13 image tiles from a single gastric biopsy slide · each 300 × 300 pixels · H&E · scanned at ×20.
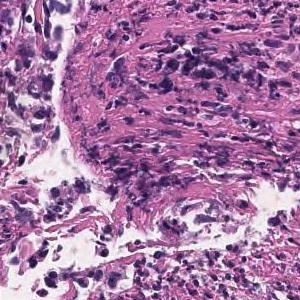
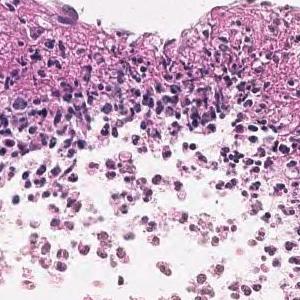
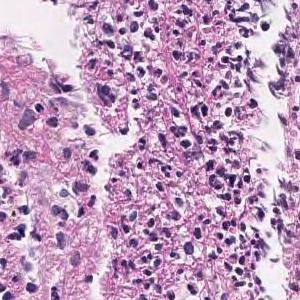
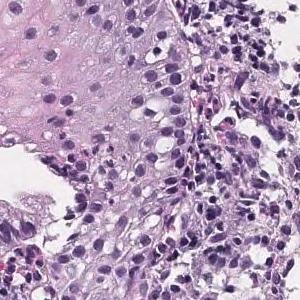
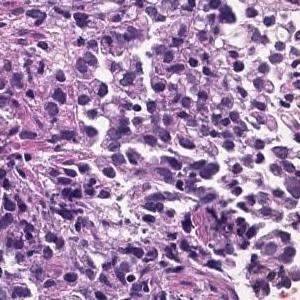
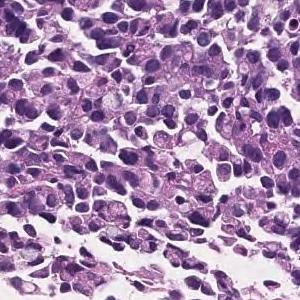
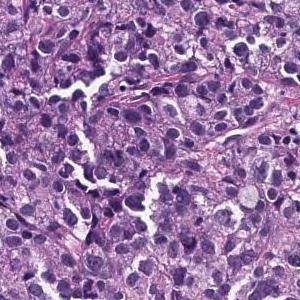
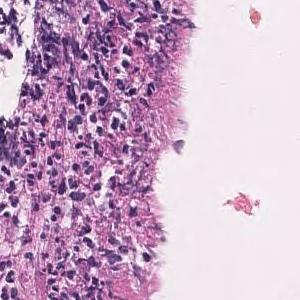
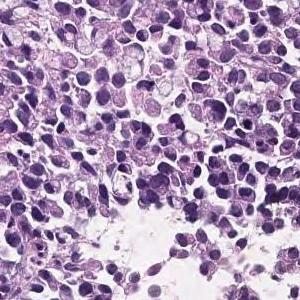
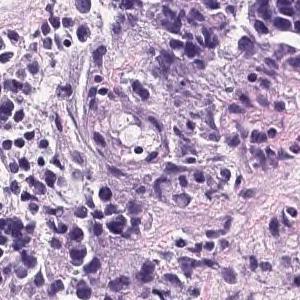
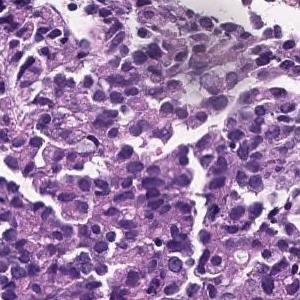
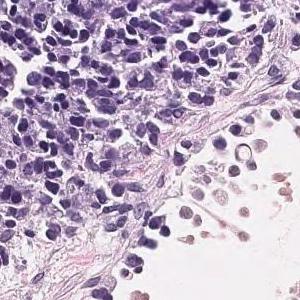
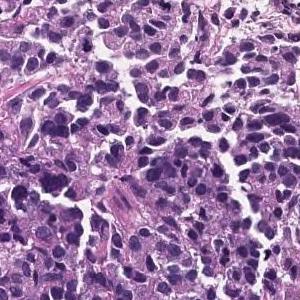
Report on the slide these tiles come from. The findings and the diagnosis refer to the entire slide; these tiles show only part of it, possibly with non-tumor tissue, and may not show every feature named.
The superficial epithelium shows a large sheet-like shape, and some tumor tissue infiltrates with small irregular ducts. Poorly differentiated adenocarcinoma, solid-type
Histological subtype: Poorly differentiated adenocarcinoma, solid type, a category of the Japanese Classification of Gastric Carcinoma; in the WHO 2019 classification it is tubular adenocarcinoma, poorly differentiated.
